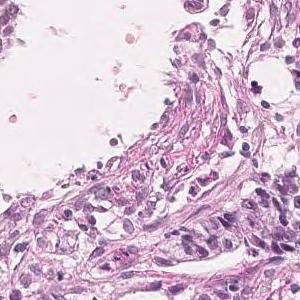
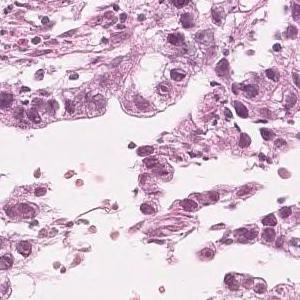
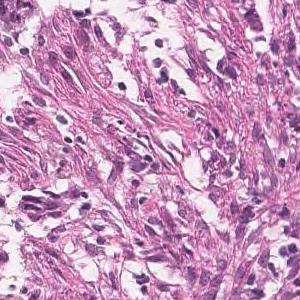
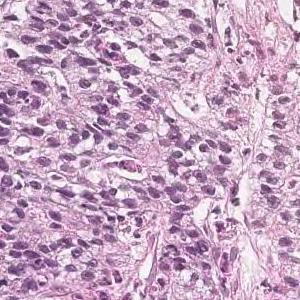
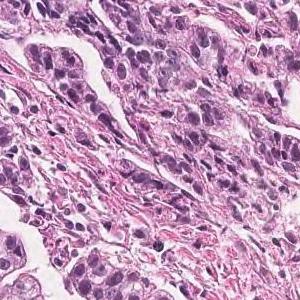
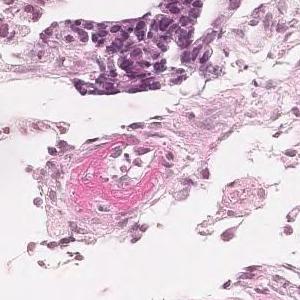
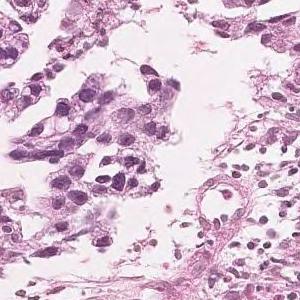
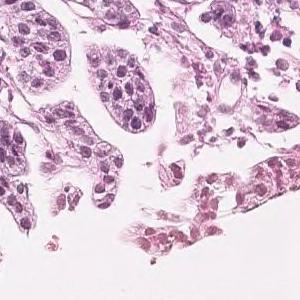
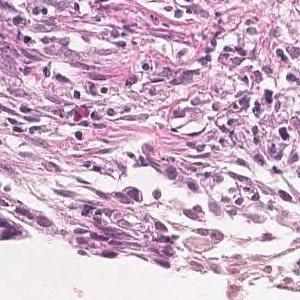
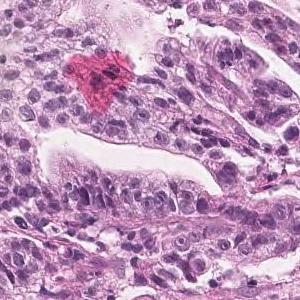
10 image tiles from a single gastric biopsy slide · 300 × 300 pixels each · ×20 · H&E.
Pathology report for the slide these tiles were cut from. The report and the diagnosis describe the slide as a whole, so these tiles may not show every feature named and may include non-tumor tissue.
Tumor tissue in which highly columnar atypical epithelial cells with nuclear enlargement and increased nuclear chromatin show papillary to papillary ductal structure and proliferate is observed. Papillary adenocarcinoma.
